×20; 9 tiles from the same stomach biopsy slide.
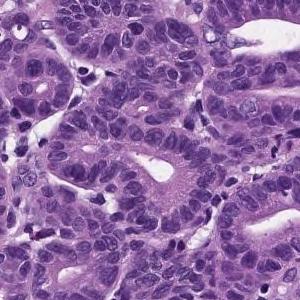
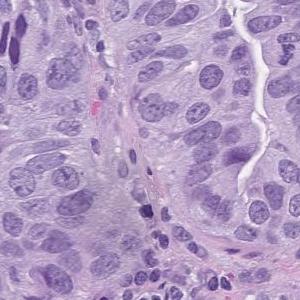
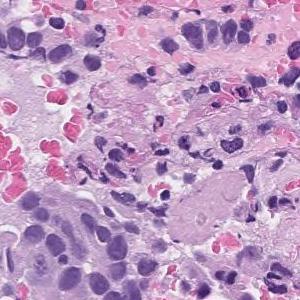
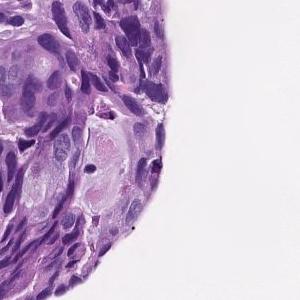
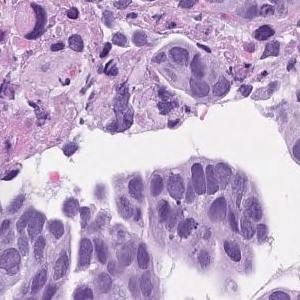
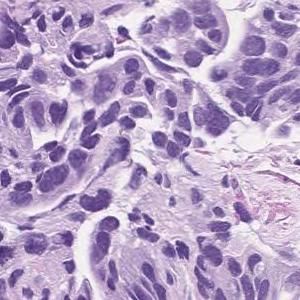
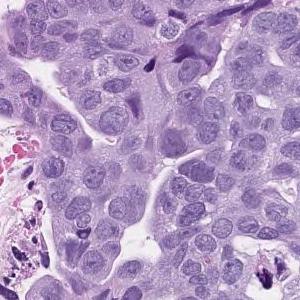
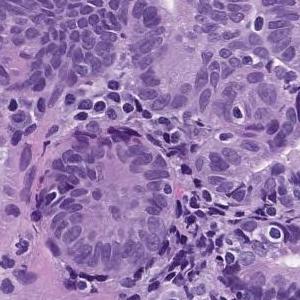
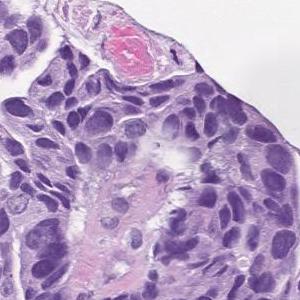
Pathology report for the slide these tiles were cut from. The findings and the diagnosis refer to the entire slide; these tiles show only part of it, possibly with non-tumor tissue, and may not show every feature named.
In the superficial epithelium, tumor tissue that invades by forming medium-sized to small, irregular ducts is observed. moderately differentiated tubular adenocarcinoma.
